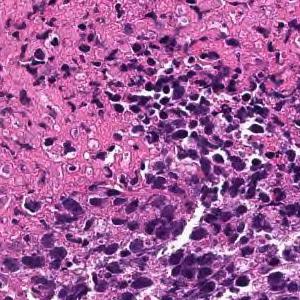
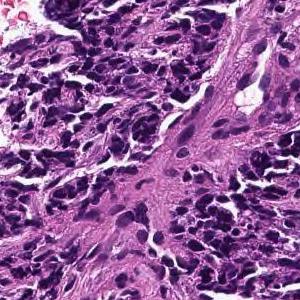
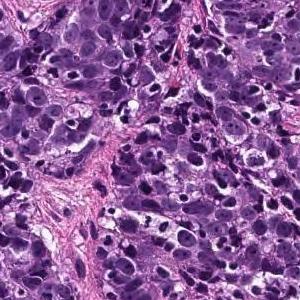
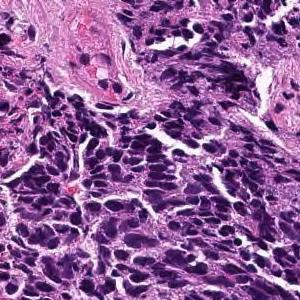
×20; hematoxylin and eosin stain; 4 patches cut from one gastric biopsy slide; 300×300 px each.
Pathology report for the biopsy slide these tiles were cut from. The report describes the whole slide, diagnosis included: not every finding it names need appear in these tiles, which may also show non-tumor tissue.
The superficial epithelium shows a large sheet or alveolar shape, and tumor tissue infiltrating without irregular ducts is observed. Poorly differentiated adenocarcinoma, solid-type
Histologic type: Poorly differentiated adenocarcinoma, solid type, a category of the Japanese Classification of Gastric Carcinoma; in the WHO 2019 classification it is tubular adenocarcinoma, poorly differentiated.
